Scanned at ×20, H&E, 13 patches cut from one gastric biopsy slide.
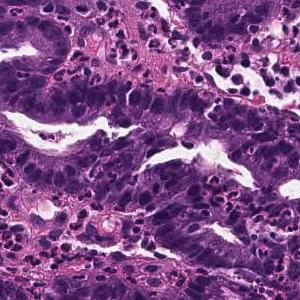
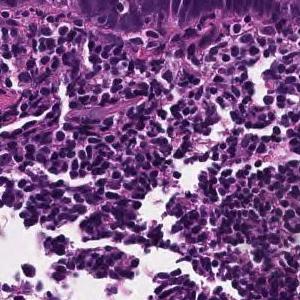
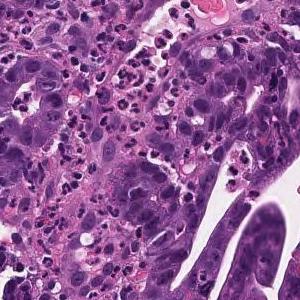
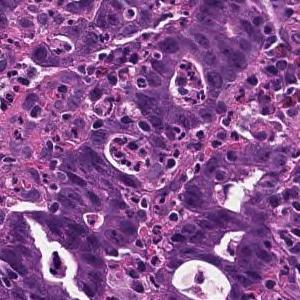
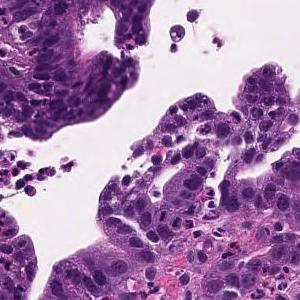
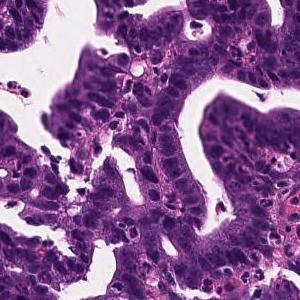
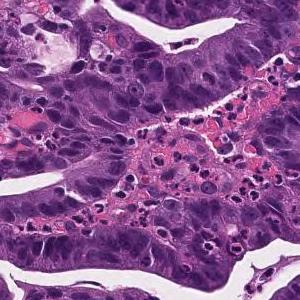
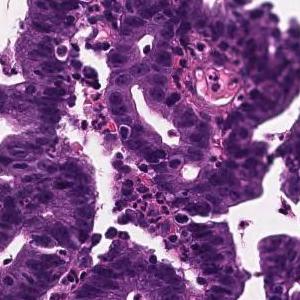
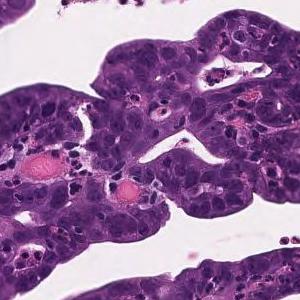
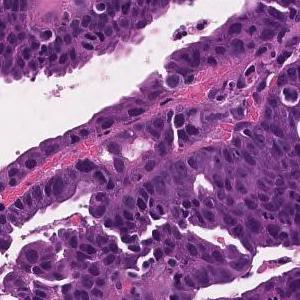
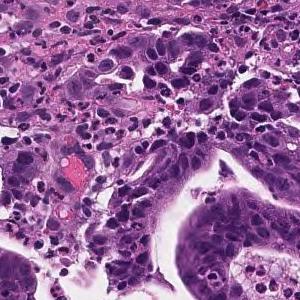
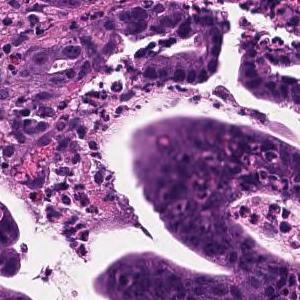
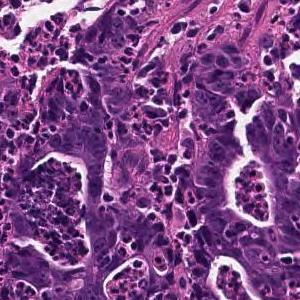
Report on the slide these tiles come from. The report describes the whole slide, diagnosis included: not every finding it names need appear in these tiles, which may also show non-tumor tissue.
Tumor cells are large, highly columnar, large club-shaped nuclei, and are associated with chromatin aggregation. Papillary adenocarcinoma.
